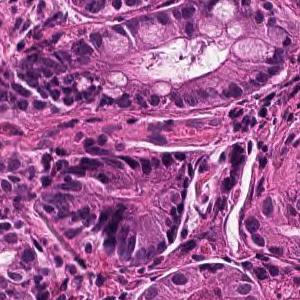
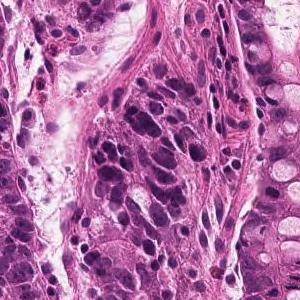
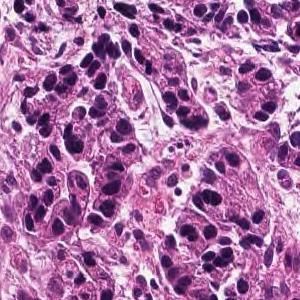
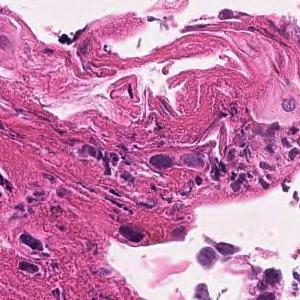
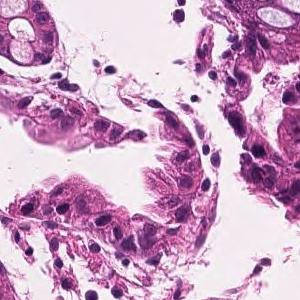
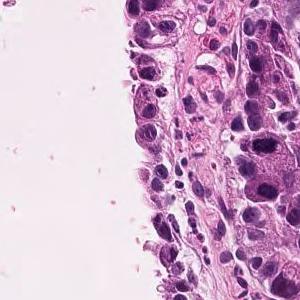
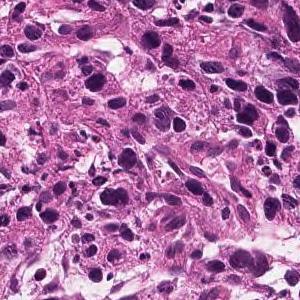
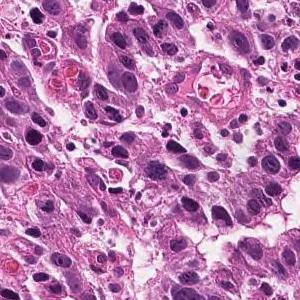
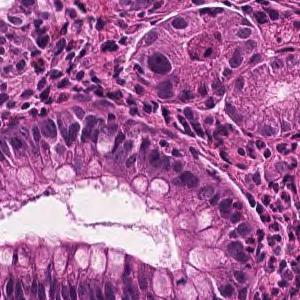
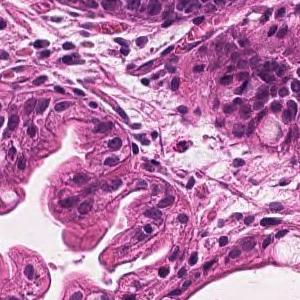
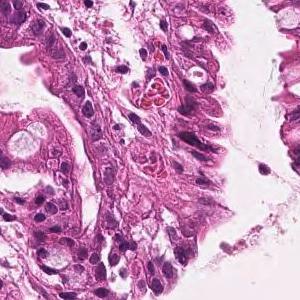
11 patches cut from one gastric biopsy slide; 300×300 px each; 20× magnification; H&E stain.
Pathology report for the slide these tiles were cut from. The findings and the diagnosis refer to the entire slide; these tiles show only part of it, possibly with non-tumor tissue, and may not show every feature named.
Tumor tissue consisting of medium-sized, cord-like or irregular glandular infiltration is observed in the superficial epithelium. Poorly differentiated adenocarcinoma, non-solid type or moderately differentiated tubular adenocarcinoma
Subtype: Moderately to poorly differentiated adenocarcinoma.
The term "non-solid type" comes from the Japanese Classification of Gastric Carcinoma.
